H&E · 16 patches cut from one gastric biopsy slide · 300 × 300 pixels each.
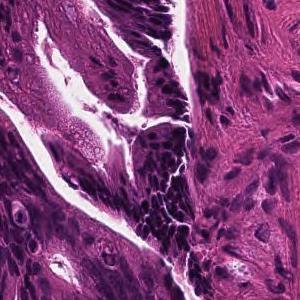
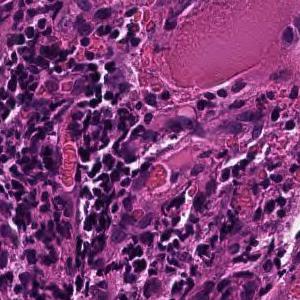
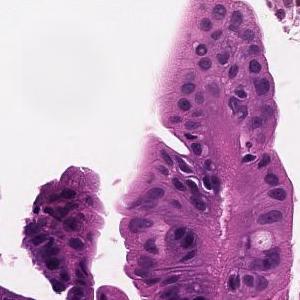
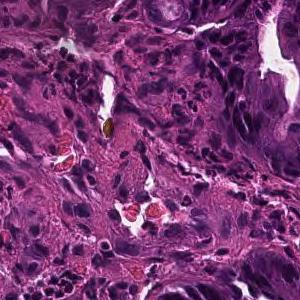
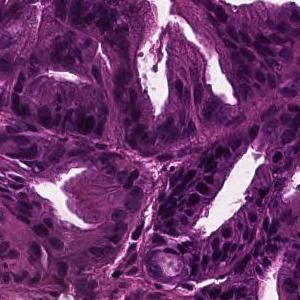
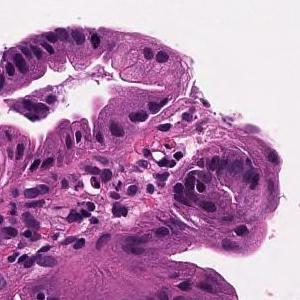
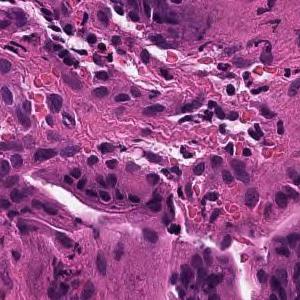
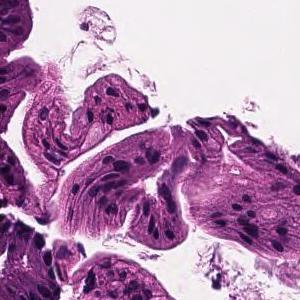
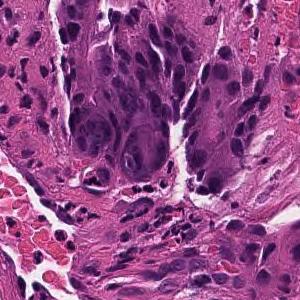
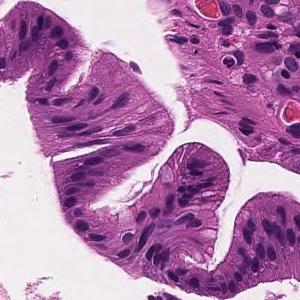
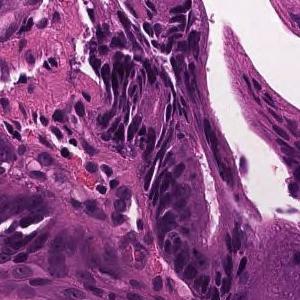
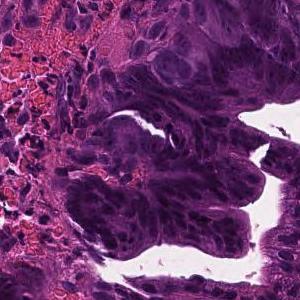
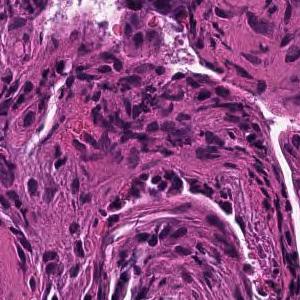
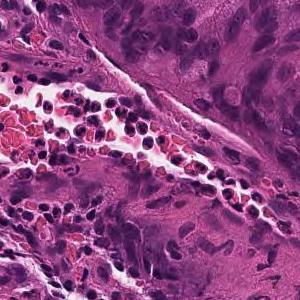
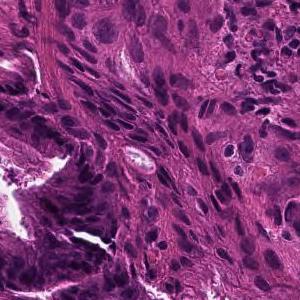
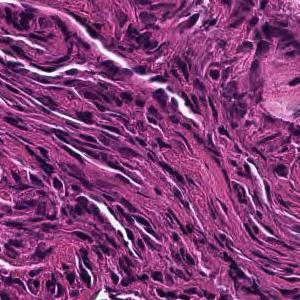
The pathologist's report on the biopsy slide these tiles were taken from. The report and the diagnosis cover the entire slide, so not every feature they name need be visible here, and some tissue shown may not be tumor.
Tumor cells are large, highly columnar, large club-shaped nuclei, and are associated with chromatin aggregation. Papillary adenocarcinoma.
